6 tiles cut from one stomach biopsy slide, ×20.
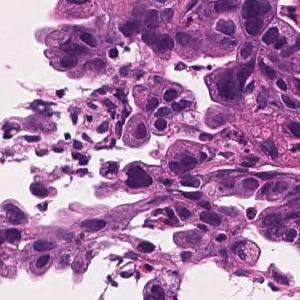
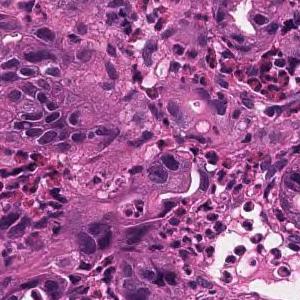
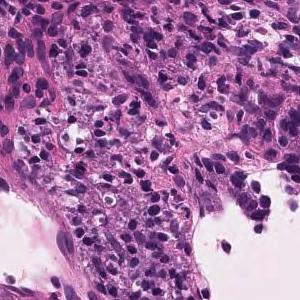
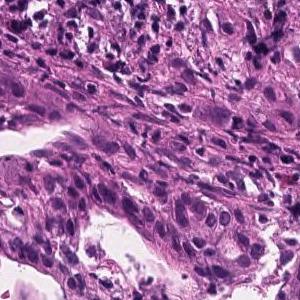
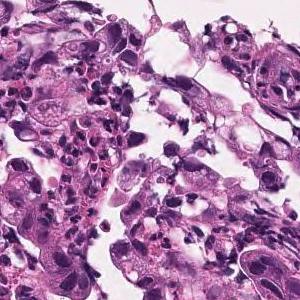
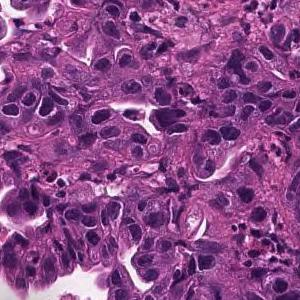
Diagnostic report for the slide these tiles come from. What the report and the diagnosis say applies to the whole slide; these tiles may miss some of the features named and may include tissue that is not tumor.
Tumor tissue consisting of medium-sized, cord-like or irregular glandular infiltration is observed in the superficial epithelium. Poorly differentiated adenocarcinoma, non-solid type or moderately differentiated tubular adenocarcinoma
The non-solid type named here is a Japanese Classification of Gastric Carcinoma category.
